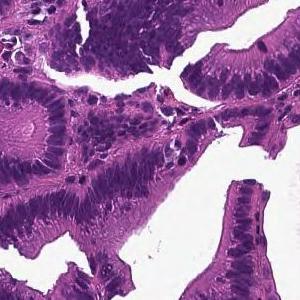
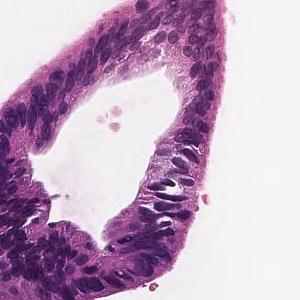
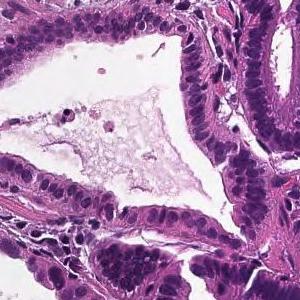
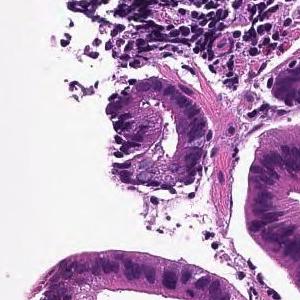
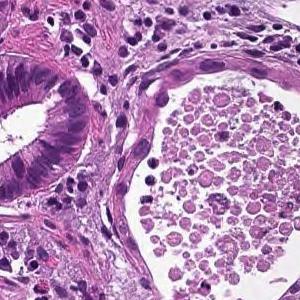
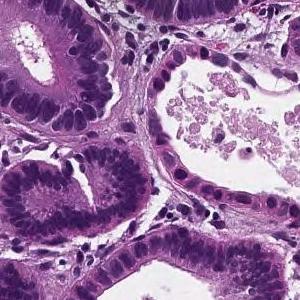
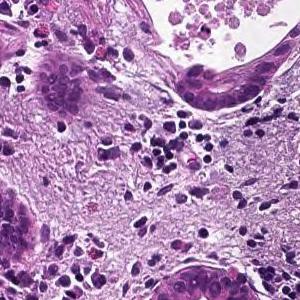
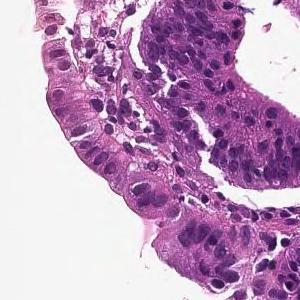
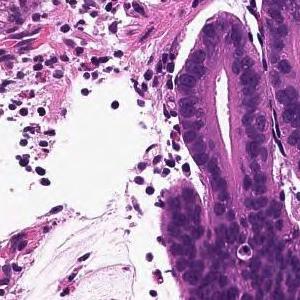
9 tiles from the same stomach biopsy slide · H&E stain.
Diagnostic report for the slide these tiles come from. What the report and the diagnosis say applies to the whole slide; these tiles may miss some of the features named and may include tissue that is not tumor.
From the superficial epithelium to the muscularis mucosae, tumor tissue consisting of medium-sized and irregular glandular ducts infiltrating is observed. Well differentiated tubular adenocarcinoma
